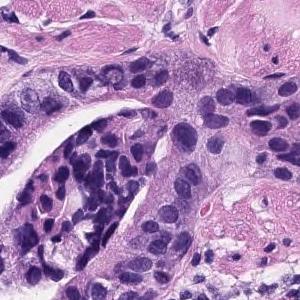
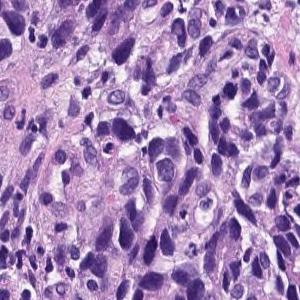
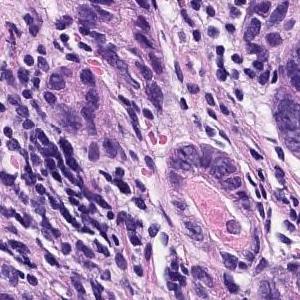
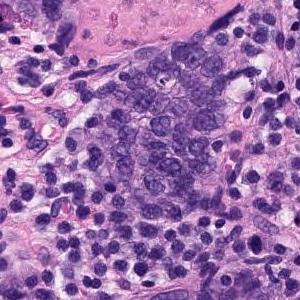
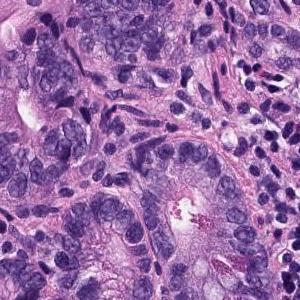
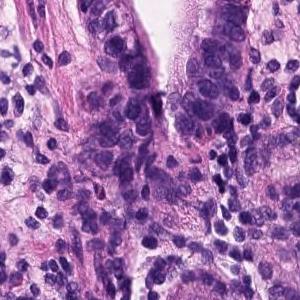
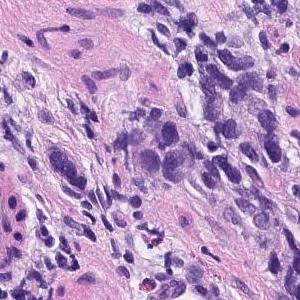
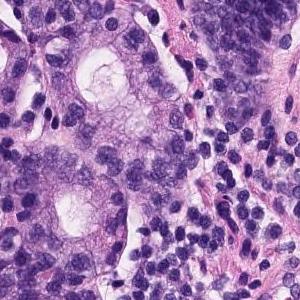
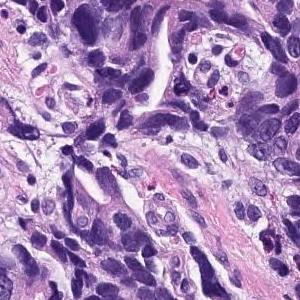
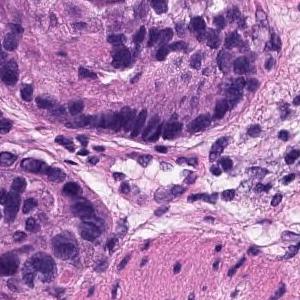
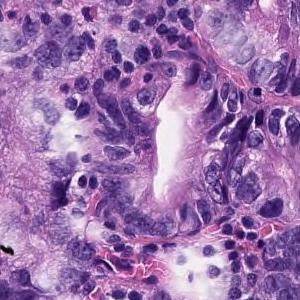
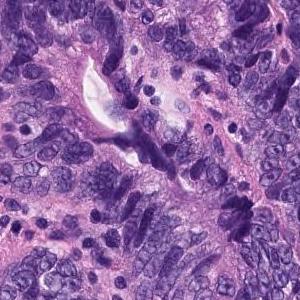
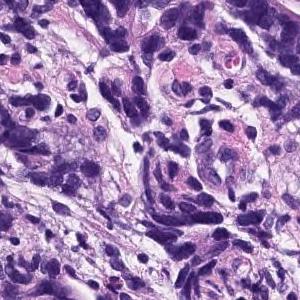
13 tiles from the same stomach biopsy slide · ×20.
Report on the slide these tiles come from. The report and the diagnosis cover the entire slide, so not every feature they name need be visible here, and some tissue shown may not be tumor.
On the superficial epithelium, tumor tissue consisting of images showing invasive growth with small, irregular tubules partially fused is observed. moderately differentiated tubular adenocarcinoma
